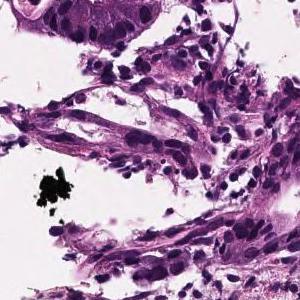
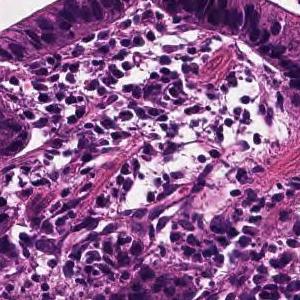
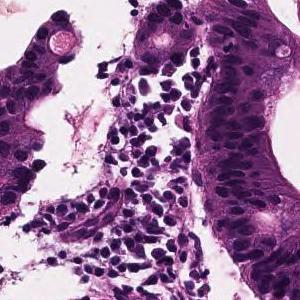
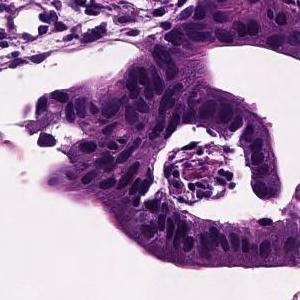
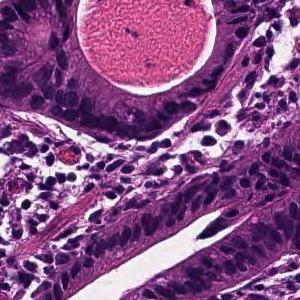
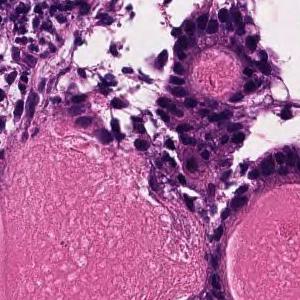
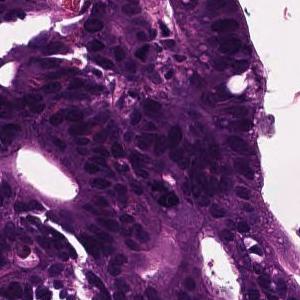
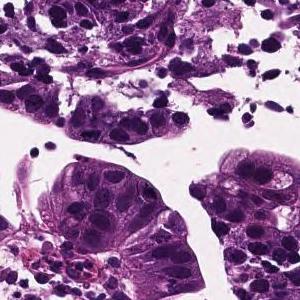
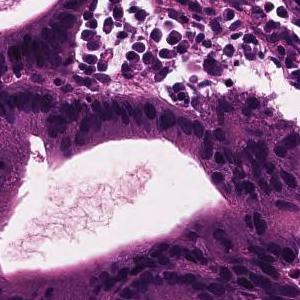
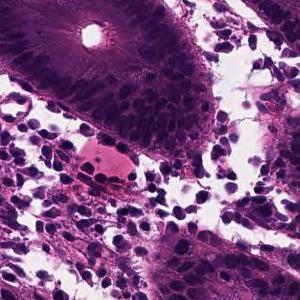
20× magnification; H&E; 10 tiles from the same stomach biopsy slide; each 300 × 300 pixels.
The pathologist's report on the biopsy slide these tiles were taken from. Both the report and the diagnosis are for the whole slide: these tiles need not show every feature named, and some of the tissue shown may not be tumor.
In the superficial epithelium, tumor tissue that invades by forming medium-sized to small, irregular ducts is observed. moderately differentiated tubular adenocarcinoma.
